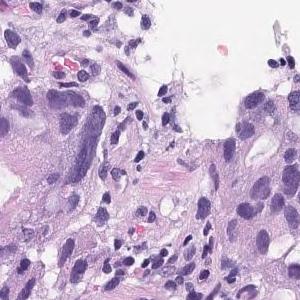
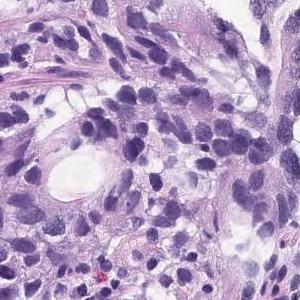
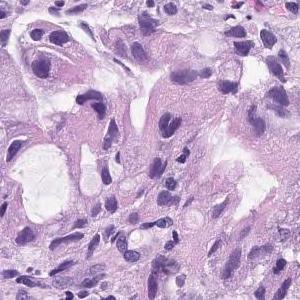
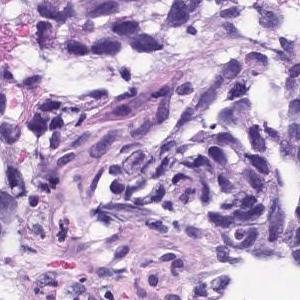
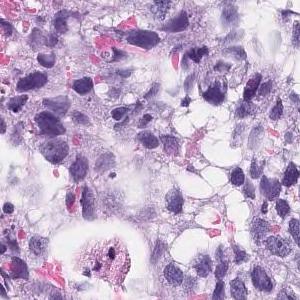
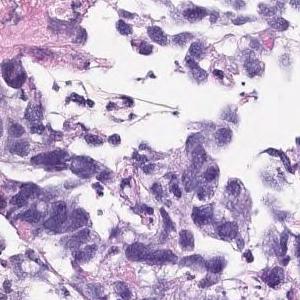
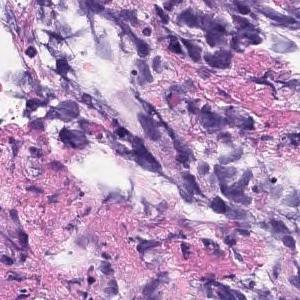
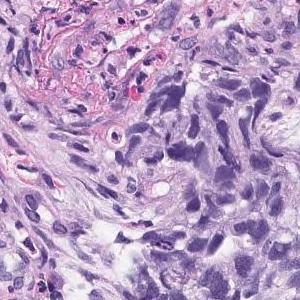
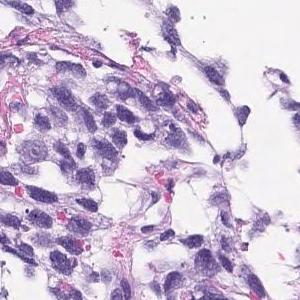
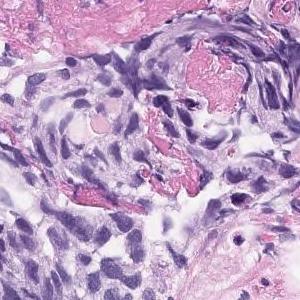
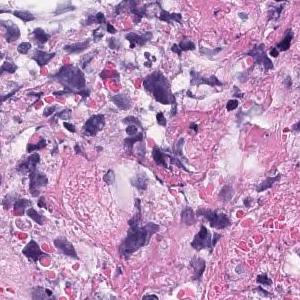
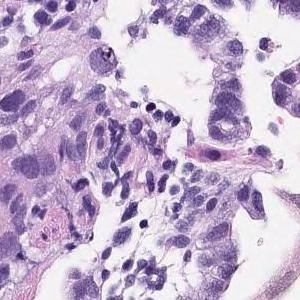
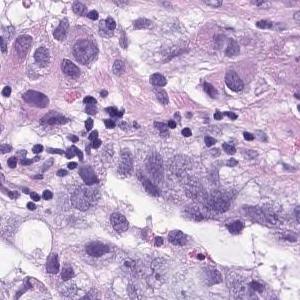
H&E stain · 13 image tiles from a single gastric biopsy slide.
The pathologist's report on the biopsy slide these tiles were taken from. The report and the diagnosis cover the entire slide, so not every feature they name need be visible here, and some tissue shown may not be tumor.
In the superficial epithelium, tumor tissue that invades by forming medium-sized to small, irregular ducts is observed. Moderately differentiated adenocarcinoma.
Histological subtype: Moderately differentiated tubular adenocarcinoma.
